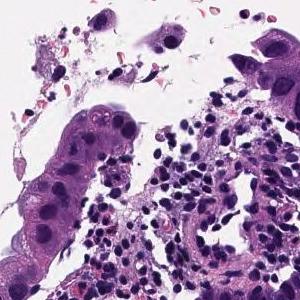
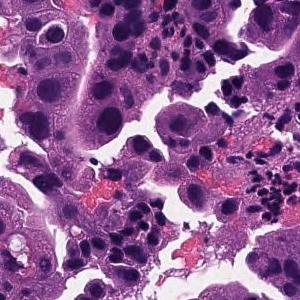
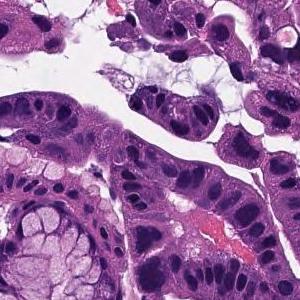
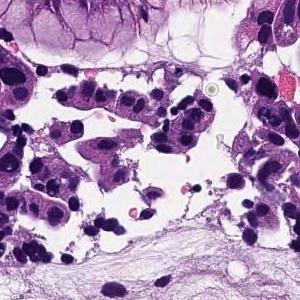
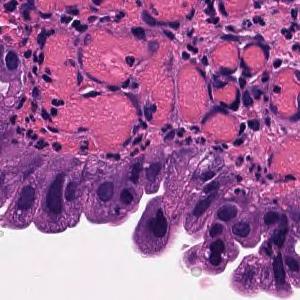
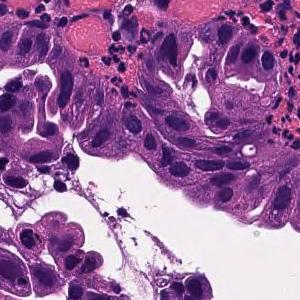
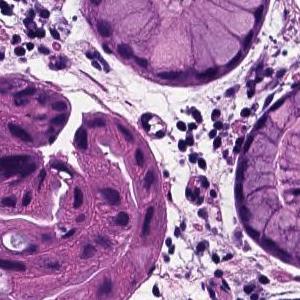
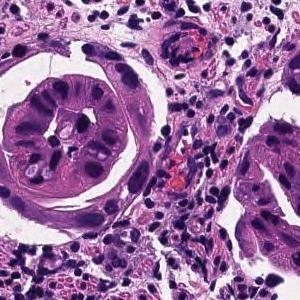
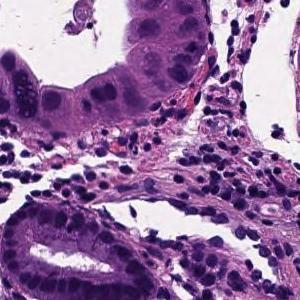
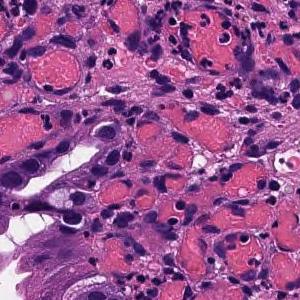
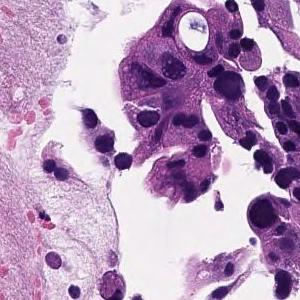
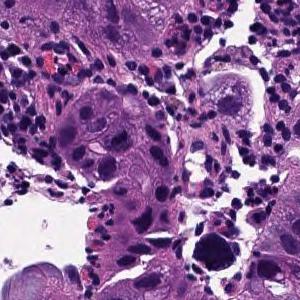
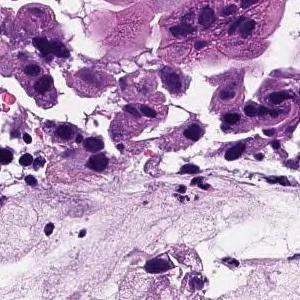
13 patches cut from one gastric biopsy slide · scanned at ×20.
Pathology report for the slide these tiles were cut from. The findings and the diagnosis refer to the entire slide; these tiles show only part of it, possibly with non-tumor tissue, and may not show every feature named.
Tumor tissue consisting of large papillary structures is found in the superficial epithelium. Papillary adenocarcinoma.
